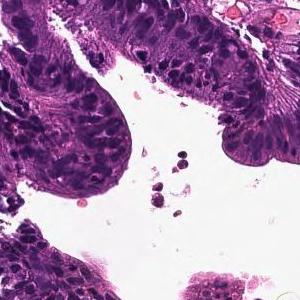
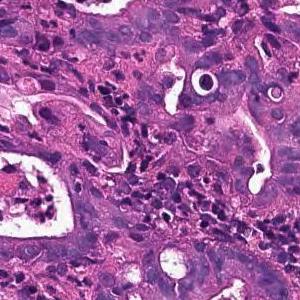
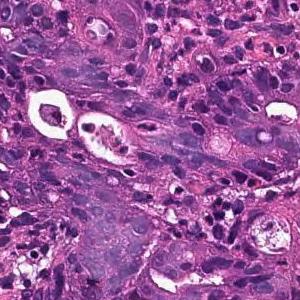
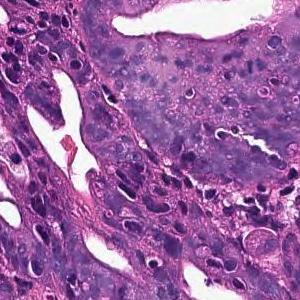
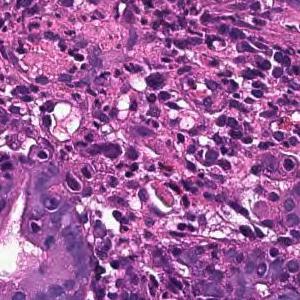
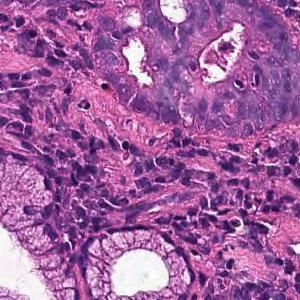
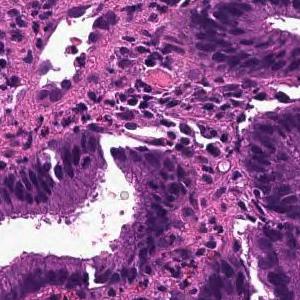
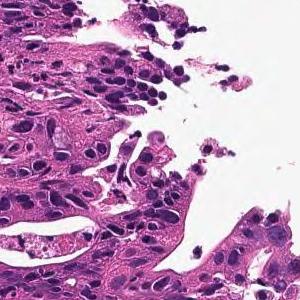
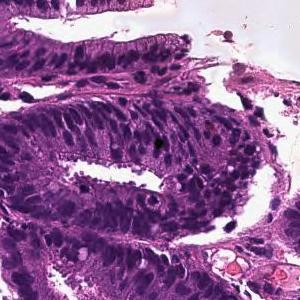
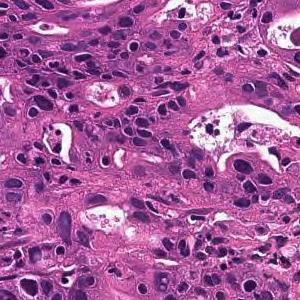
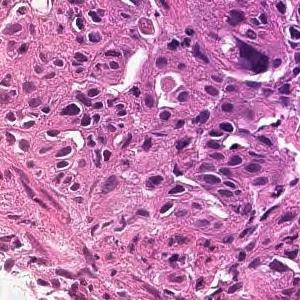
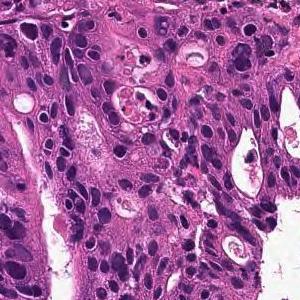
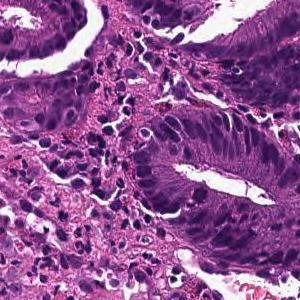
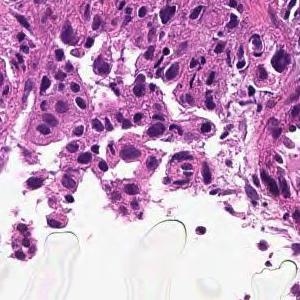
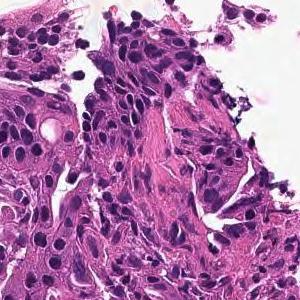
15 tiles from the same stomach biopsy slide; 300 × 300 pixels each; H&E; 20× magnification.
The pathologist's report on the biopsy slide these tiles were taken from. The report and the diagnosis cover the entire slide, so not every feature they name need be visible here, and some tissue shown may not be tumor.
In the superficial epithelium, tumor tissue that invades by forming medium-sized to small, irregular ducts is observed. moderately differentiated tubular adenocarcinoma.
